5 image tiles from a single gastric biopsy slide, 300×300 px each, scanned at ×20, hematoxylin and eosin stain.
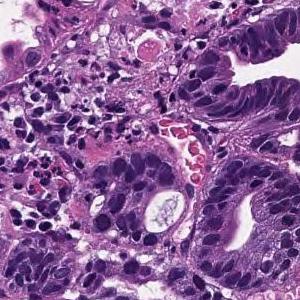
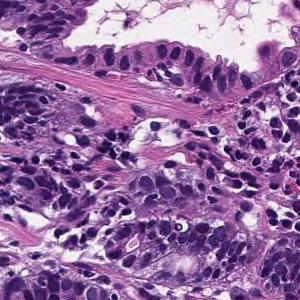
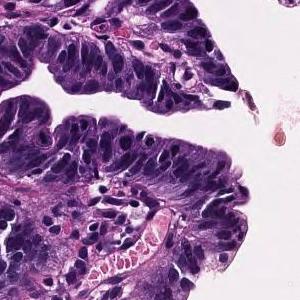
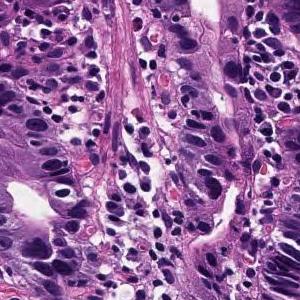
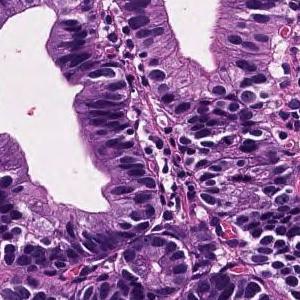
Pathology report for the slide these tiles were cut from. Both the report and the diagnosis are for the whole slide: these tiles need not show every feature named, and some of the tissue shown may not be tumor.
In the superficial epithelium, tumor tissue that invades by forming medium-sized to small, irregular ducts is observed. Well differentiated tubular adenocarcinoma.
